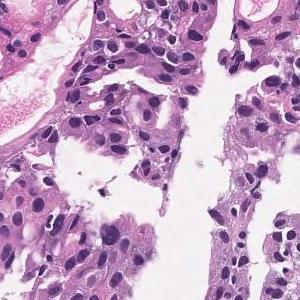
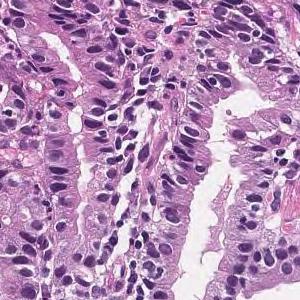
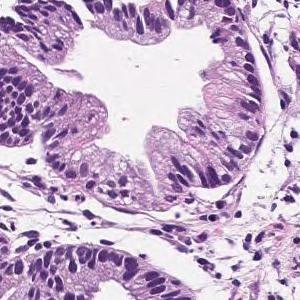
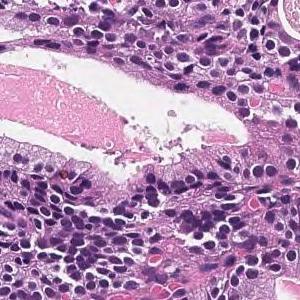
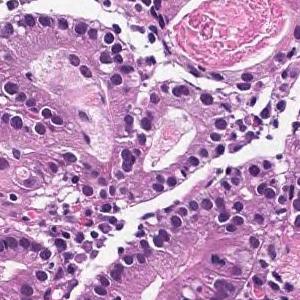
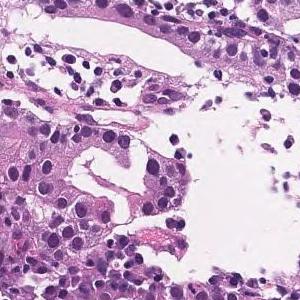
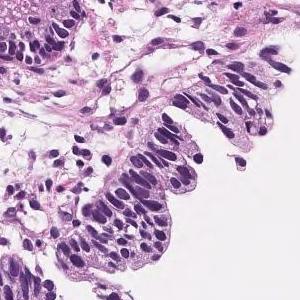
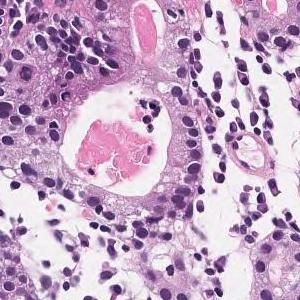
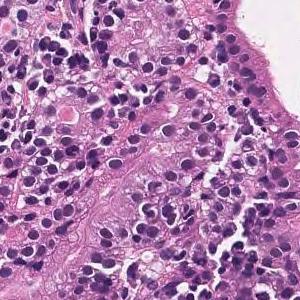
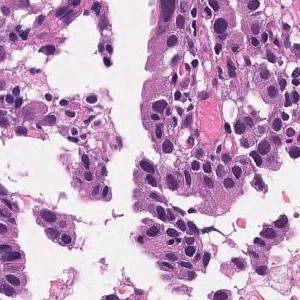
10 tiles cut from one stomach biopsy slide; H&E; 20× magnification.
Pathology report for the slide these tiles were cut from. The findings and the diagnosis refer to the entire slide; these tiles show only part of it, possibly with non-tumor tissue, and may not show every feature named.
Medium to small, irregular glandular ducts are formed in the superficial epithelium, and in some cases, the glandular ducts are fused to show solid alveolar lesions and infiltrating tumor tissue is observed. Moderately to poorly differentiated adenocarcinoma.
